H&E · 15 patches cut from one gastric biopsy slide · each 300 × 300 pixels.
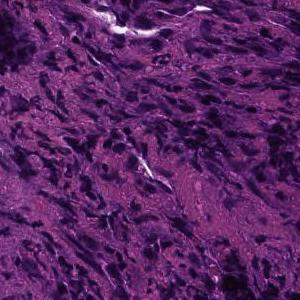
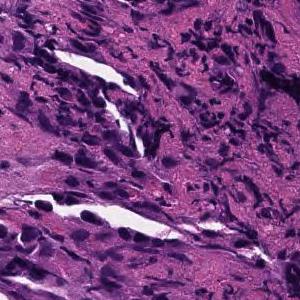
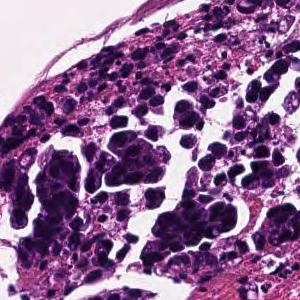
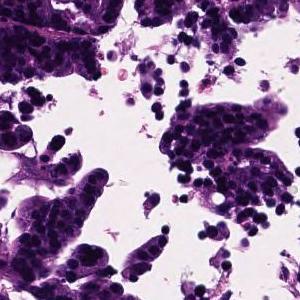
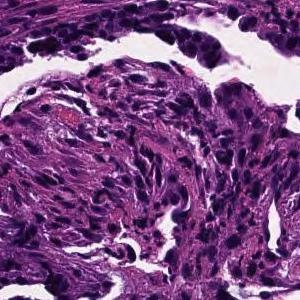
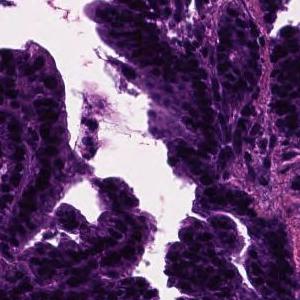
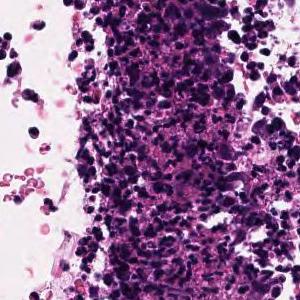
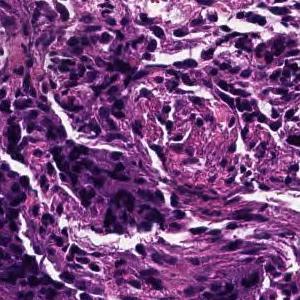
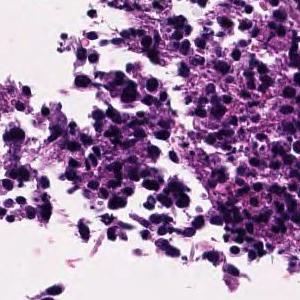
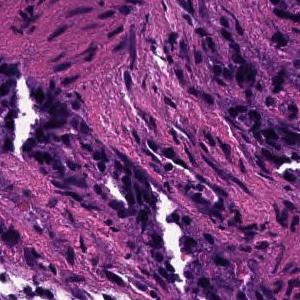
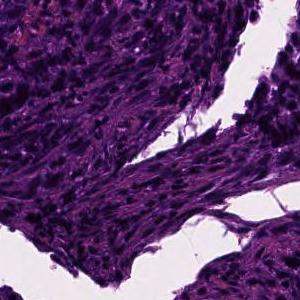
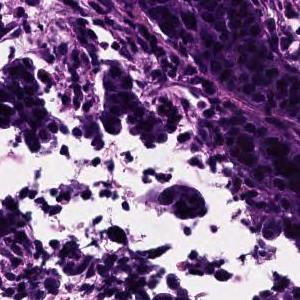
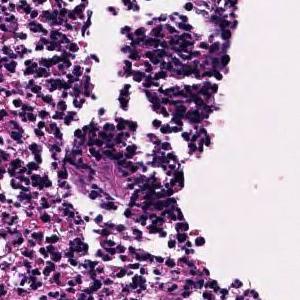
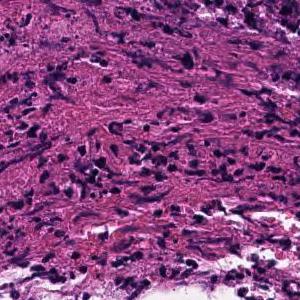
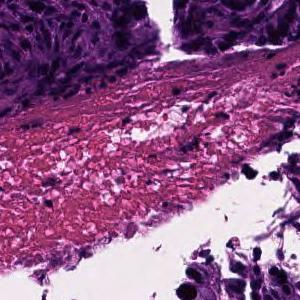
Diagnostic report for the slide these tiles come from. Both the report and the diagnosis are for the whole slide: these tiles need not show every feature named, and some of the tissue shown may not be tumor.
In the superficial epithelium, tumor tissue that invades by forming medium-sized to small, irregular ducts is observed. moderately differentiated tubular adenocarcinoma.
